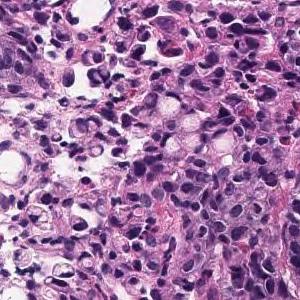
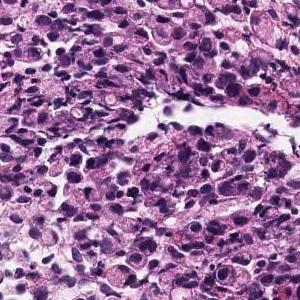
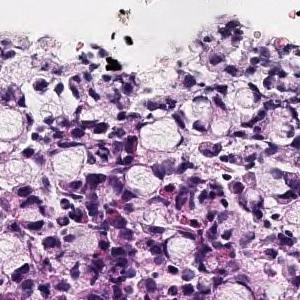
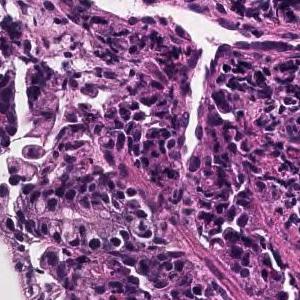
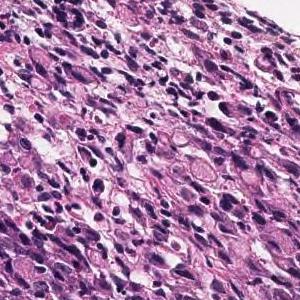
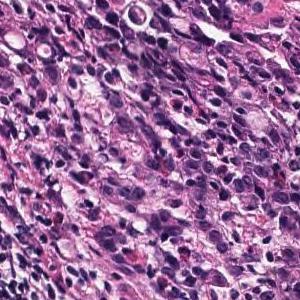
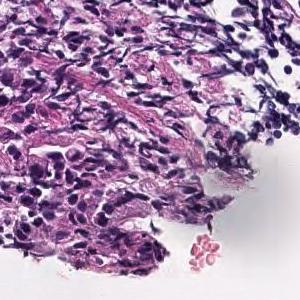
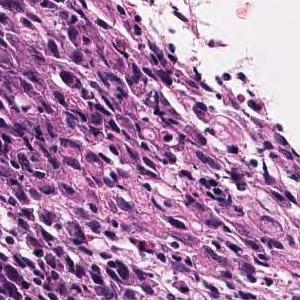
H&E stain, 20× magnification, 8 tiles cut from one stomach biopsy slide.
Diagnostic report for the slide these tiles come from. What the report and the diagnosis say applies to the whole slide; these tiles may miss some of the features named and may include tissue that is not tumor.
Atypical epithelium with abundant mucus in the vesicles shows a solid growth without ductal construction. Signet ring cell carcinoma
